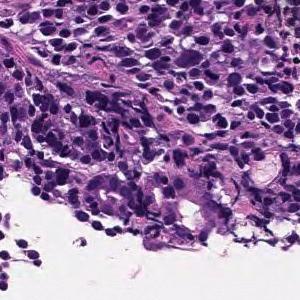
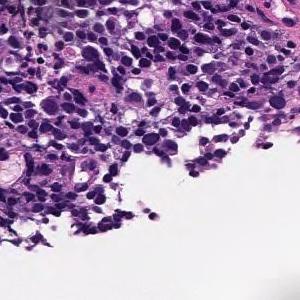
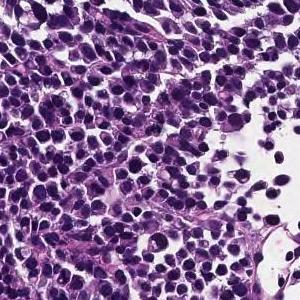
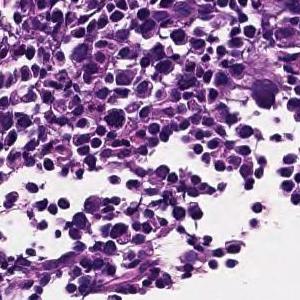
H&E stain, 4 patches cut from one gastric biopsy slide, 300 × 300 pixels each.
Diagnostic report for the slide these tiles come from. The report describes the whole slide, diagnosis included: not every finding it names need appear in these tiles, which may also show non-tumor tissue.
Large sheet-like or diffusely infiltrating tumor tissue is found in the superficial epithelium. Poorly differentiated adenocarcinoma, solid-type
Classified as poorly differentiated adenocarcinoma, solid type. This name comes from the Japanese Classification of Gastric Carcinoma; the WHO 2019 classification calls it tubular adenocarcinoma, poorly differentiated.
